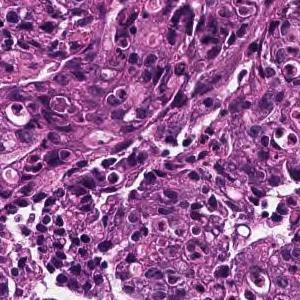
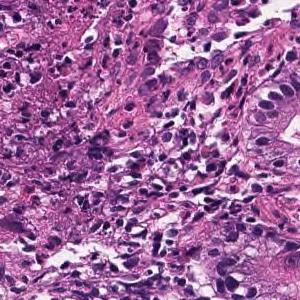
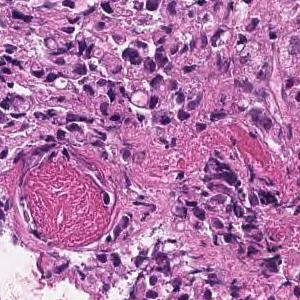
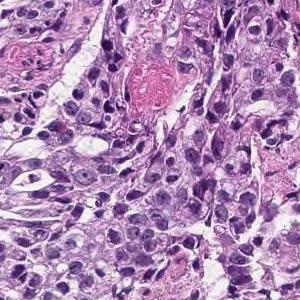
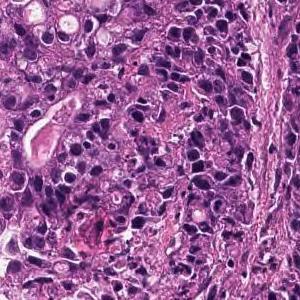
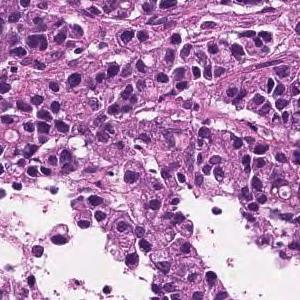
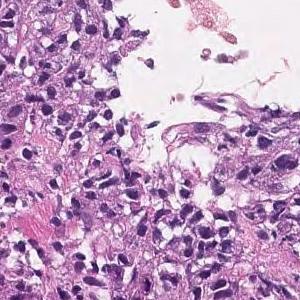
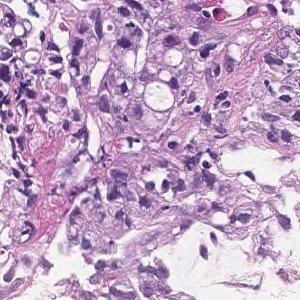
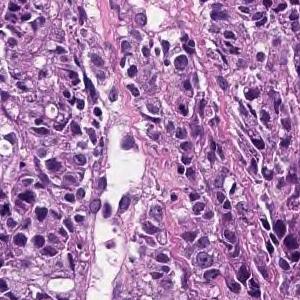
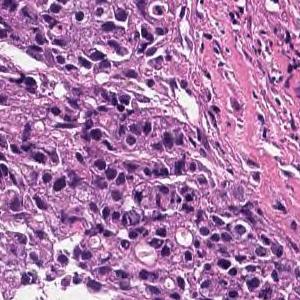
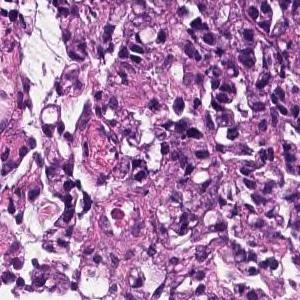
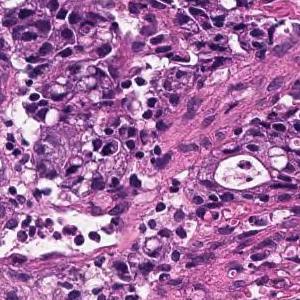
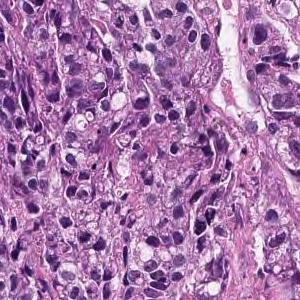
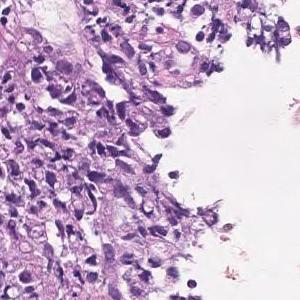
Hematoxylin and eosin stain · 14 patches cut from one gastric biopsy slide · each 300 × 300 pixels.
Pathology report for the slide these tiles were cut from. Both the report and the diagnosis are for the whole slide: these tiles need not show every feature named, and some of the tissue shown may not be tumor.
Medium to small, irregular glandular ducts are formed in the superficial epithelium, and in some cases, the glandular ducts are fused to show solid alveolar lesions and infiltrating tumor tissue is observed. Moderately to poorly differentiated adenocarcinoma.
